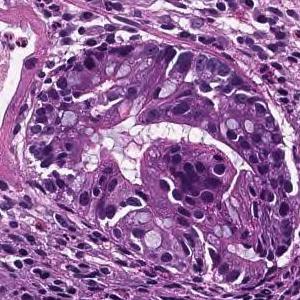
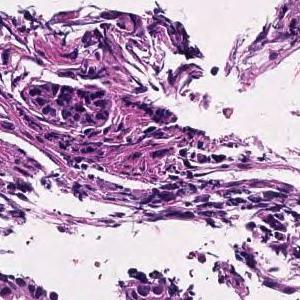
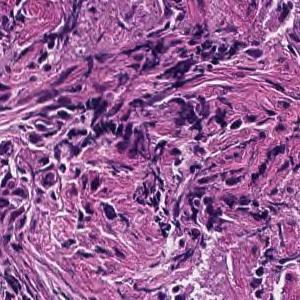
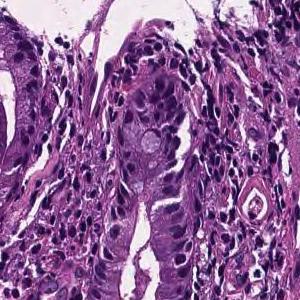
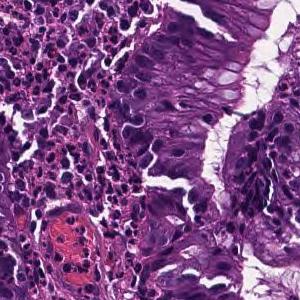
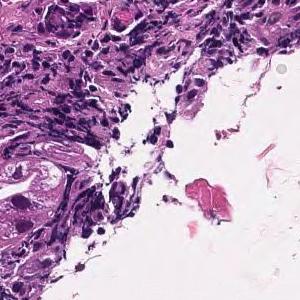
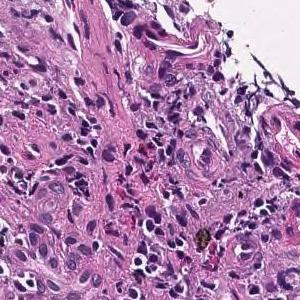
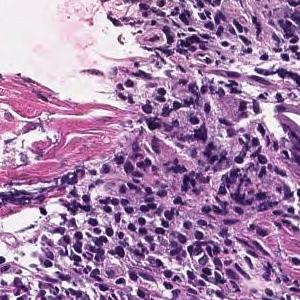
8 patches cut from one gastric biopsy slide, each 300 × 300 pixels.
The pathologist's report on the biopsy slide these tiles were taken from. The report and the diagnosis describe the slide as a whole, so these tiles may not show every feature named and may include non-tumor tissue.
On the superficial epithelium, tumor tissue consisting of large, irregular glandular ducts partially fused and infiltrated is observed. Well to moderately differentiated tubular adenocarcinoma (well differentiated tubular adenocarcinoma, moderately differentiated tubular adenocarcinoma)
Subtype: Well to moderately differentiated tubular adenocarcinoma.
